Scanned at ×20 · 4 image tiles from a single gastric biopsy slide · 300×300 px each.
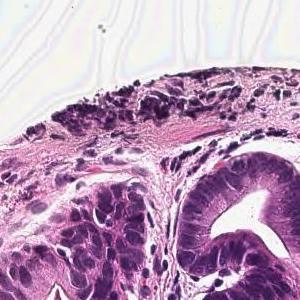
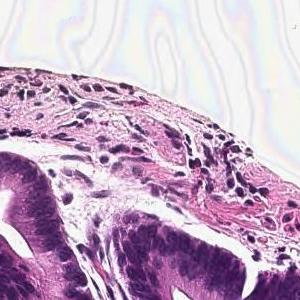
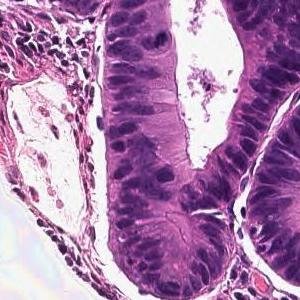
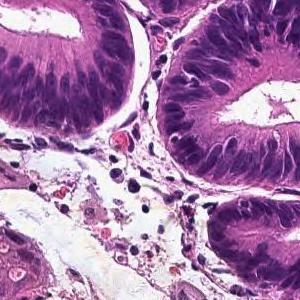
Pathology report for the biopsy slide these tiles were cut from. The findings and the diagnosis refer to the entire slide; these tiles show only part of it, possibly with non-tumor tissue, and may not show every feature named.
From the superficial epithelium to the muscularis mucosae, tumor tissue consisting of medium-sized and irregular glandular ducts infiltrating is observed. Well differentiated tubular adenocarcinoma
